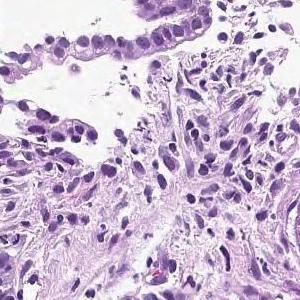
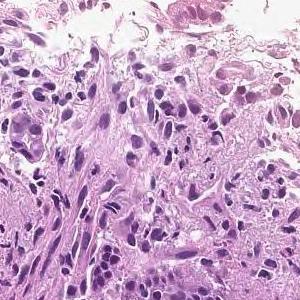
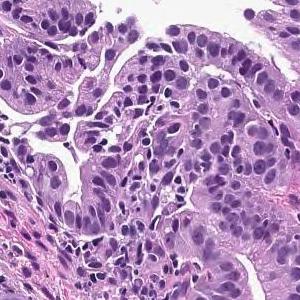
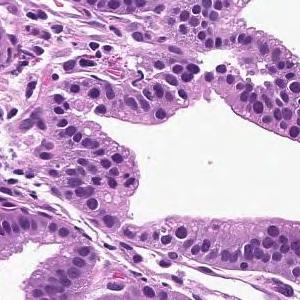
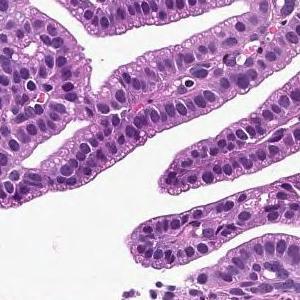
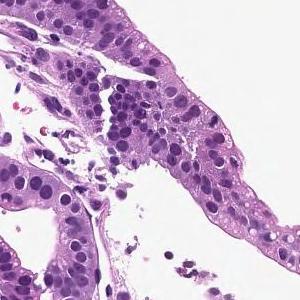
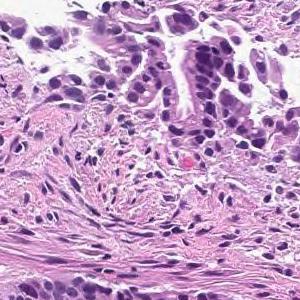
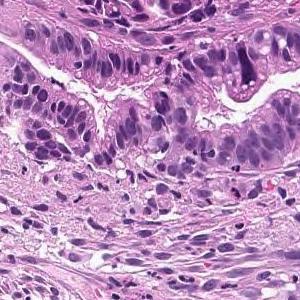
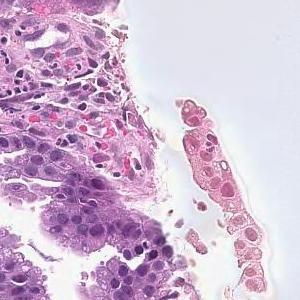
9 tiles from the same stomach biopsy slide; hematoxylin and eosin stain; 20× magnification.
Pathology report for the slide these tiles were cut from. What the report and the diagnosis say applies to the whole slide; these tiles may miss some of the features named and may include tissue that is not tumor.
On the superficial epithelium, tumor tissue that infiltrates by forming medium-sized papillary or small irregular ducts is observed. Papillary adenocarcinoma
